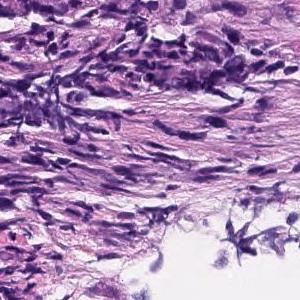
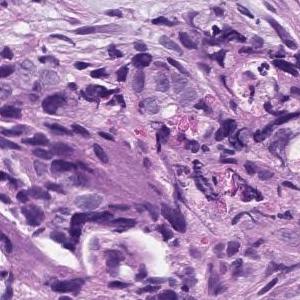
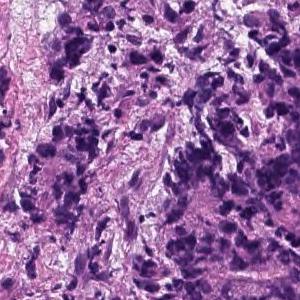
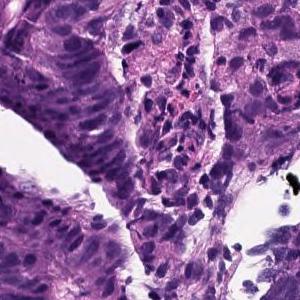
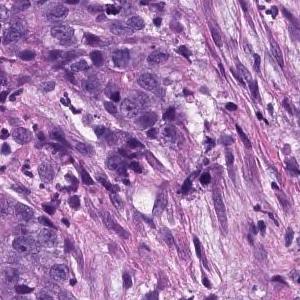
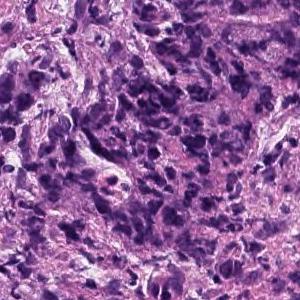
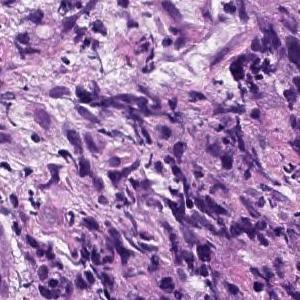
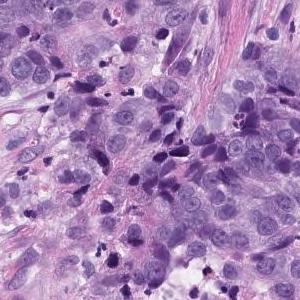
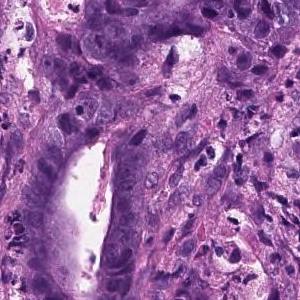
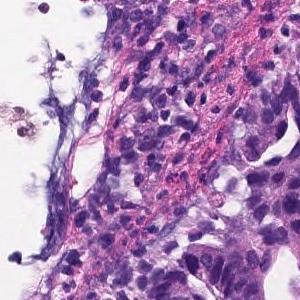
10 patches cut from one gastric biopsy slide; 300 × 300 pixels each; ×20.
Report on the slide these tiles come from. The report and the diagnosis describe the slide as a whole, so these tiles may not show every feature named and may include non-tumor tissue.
Medium to small, irregular glandular ducts are formed in the superficial epithelium, and in some cases, the glandular ducts are fused to show solid alveolar lesions and infiltrating tumor tissue is observed. Moderately to poorly differentiated adenocarcinoma.
